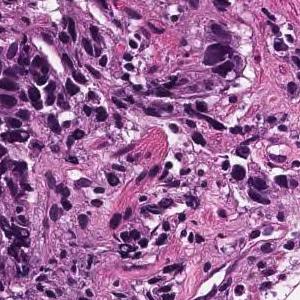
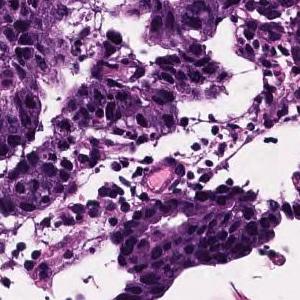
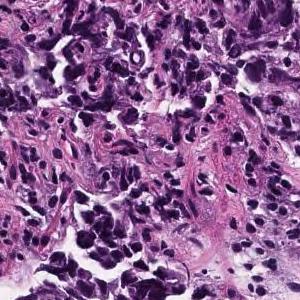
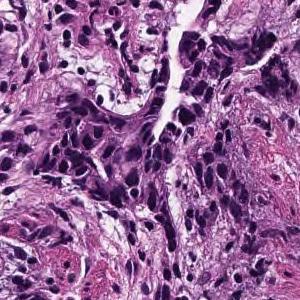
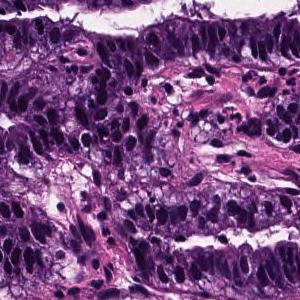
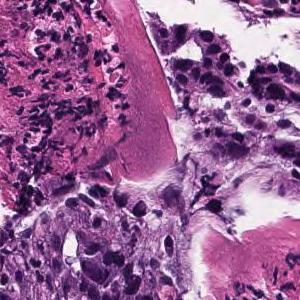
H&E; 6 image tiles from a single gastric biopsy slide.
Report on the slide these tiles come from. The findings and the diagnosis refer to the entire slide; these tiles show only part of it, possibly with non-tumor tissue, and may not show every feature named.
Atypical l cells with atypical nuclei forming diffuse or small irregular atypical ducts and growing. Moderately to poorly differentiated adenocarcinoma (poorly differentiated adenocarcinoma, solid type moderately differentiated tubular adenocarcinoma)
Classified as moderately to poorly differentiated adenocarcinoma.
"Solid type" is a category of the Japanese Classification of Gastric Carcinoma; in the WHO 2019 classification it is tubular adenocarcinoma, poorly differentiated.
